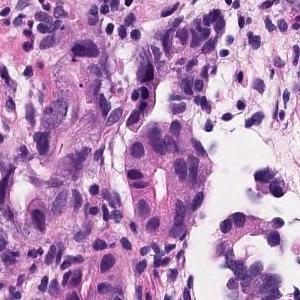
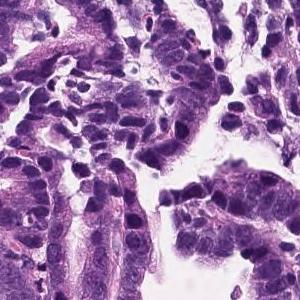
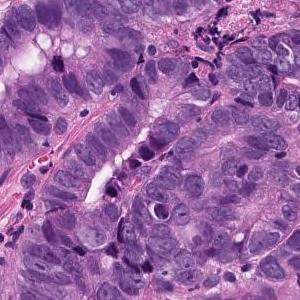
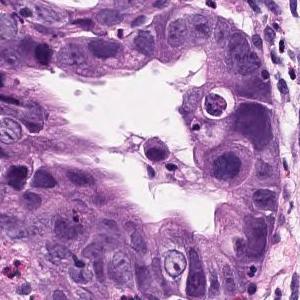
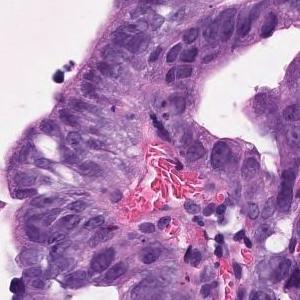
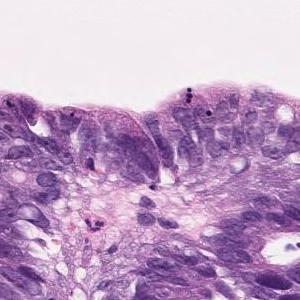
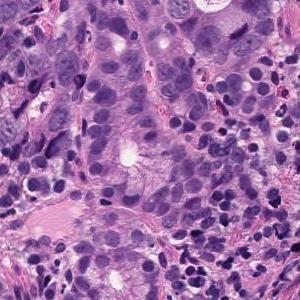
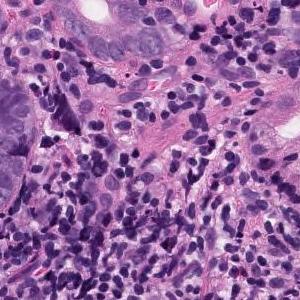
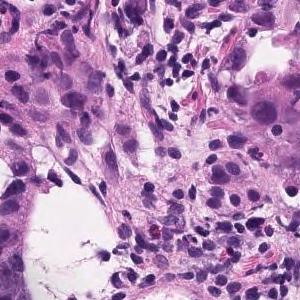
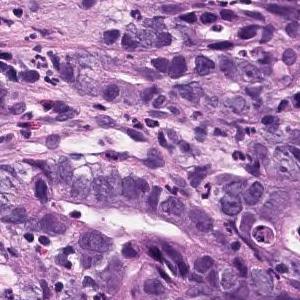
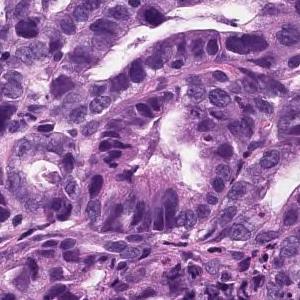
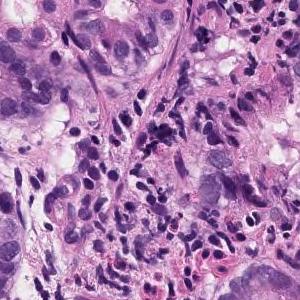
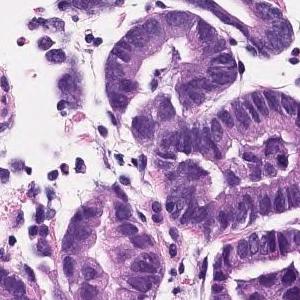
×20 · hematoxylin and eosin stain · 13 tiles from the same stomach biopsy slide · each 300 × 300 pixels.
The pathologist's report on the biopsy slide these tiles were taken from. The findings and the diagnosis refer to the entire slide; these tiles show only part of it, possibly with non-tumor tissue, and may not show every feature named.
The swollen atypical epithelium of the nucleus forms an irregular ductal structure and proliferates. moderately differentiated tubular adenocarcinoma
